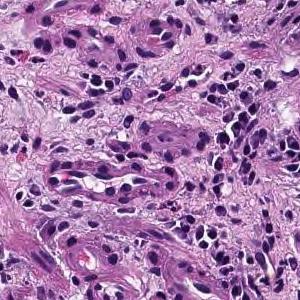
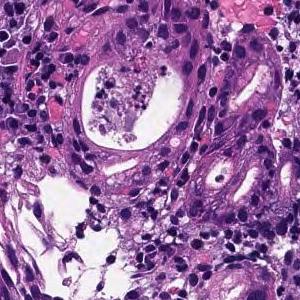
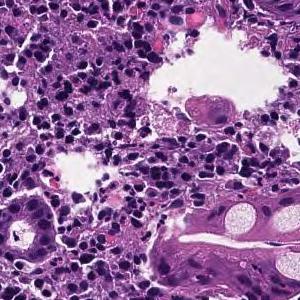
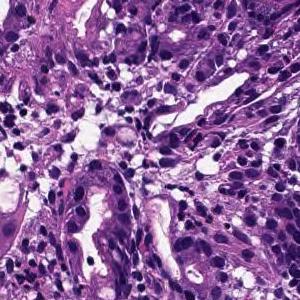
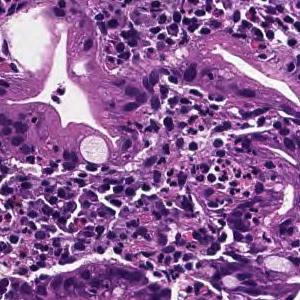
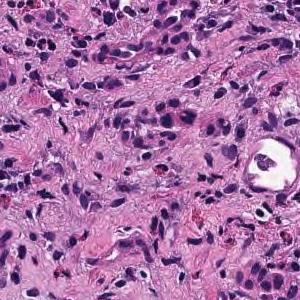
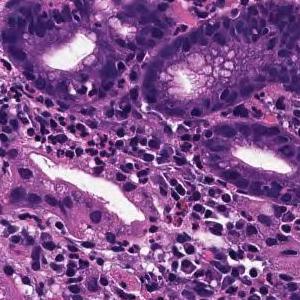
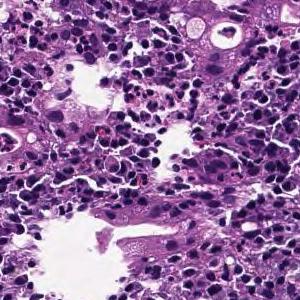
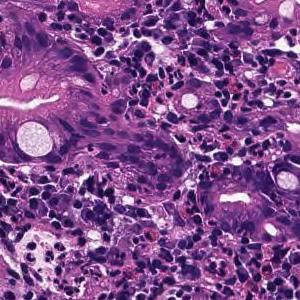
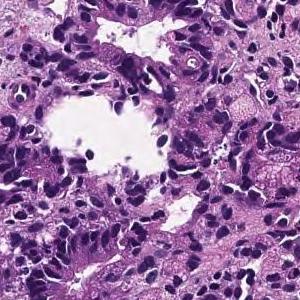
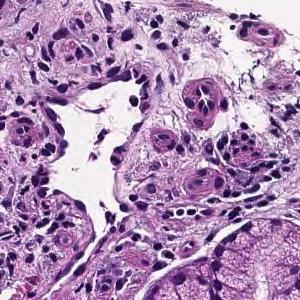
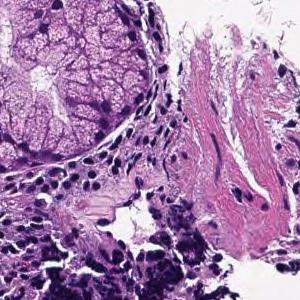
12 image tiles from a single gastric biopsy slide, scanned at ×20, hematoxylin and eosin stain.
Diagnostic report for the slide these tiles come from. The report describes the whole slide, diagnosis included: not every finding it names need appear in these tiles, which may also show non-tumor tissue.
In the superficial epithelium, tumor tissue that invades by forming medium-sized to small, irregular ducts is observed. moderately differentiated tubular adenocarcinoma.
